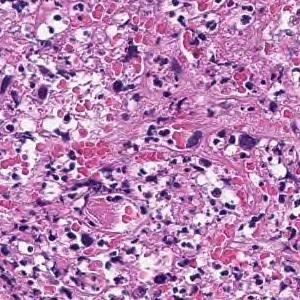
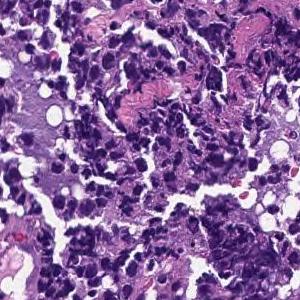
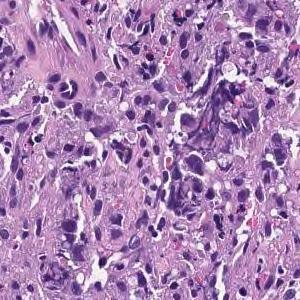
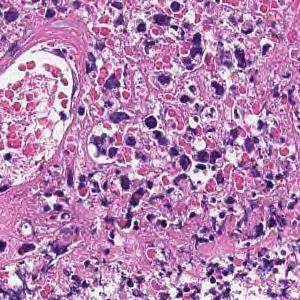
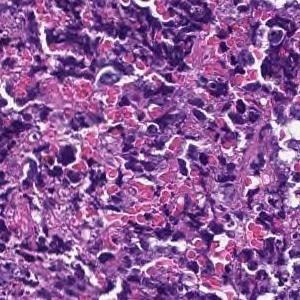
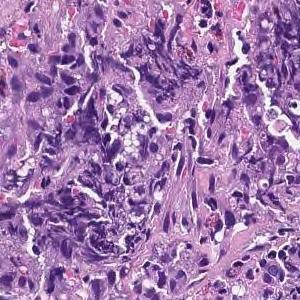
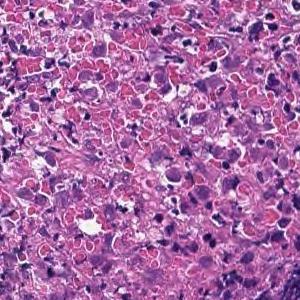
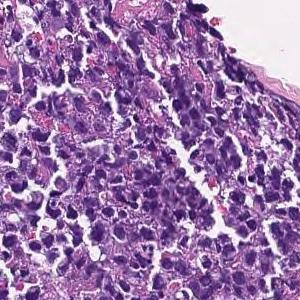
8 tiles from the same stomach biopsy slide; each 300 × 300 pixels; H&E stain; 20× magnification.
The pathologist's report on the biopsy slide these tiles were taken from. The report describes the whole slide, diagnosis included: not every finding it names need appear in these tiles, which may also show non-tumor tissue.
Most are composed of coagulative necrotic tissue, but some show a large sheet-like shape, and some show tumor tissue infiltrating with a small cord-like structure. Poorly differentiated adenocarcinoma, solid-type
Subtype: Poorly differentiated adenocarcinoma, solid type (Japanese Classification of Gastric Carcinoma). The WHO 2019 equivalent is tubular adenocarcinoma, poorly differentiated.
